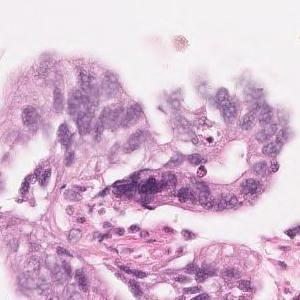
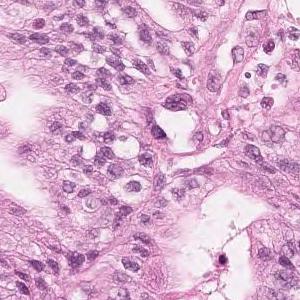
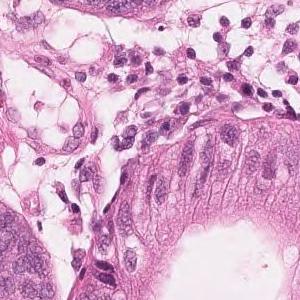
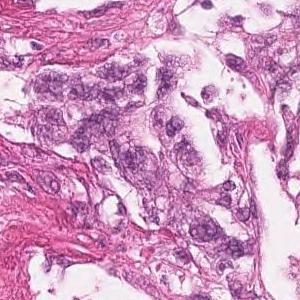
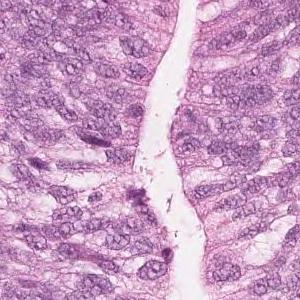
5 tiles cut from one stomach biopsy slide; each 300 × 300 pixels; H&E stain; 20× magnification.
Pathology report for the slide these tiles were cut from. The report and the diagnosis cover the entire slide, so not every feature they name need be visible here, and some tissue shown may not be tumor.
Highly columnar epithelium with disordered nuclear localization proliferates showing fusion ductal construction. moderately differentiated tubular adenocarcinoma
